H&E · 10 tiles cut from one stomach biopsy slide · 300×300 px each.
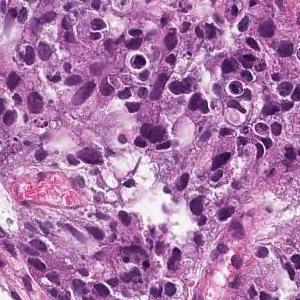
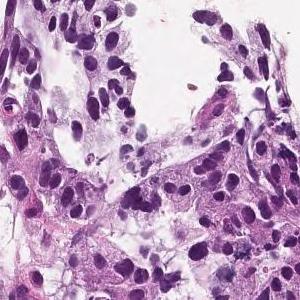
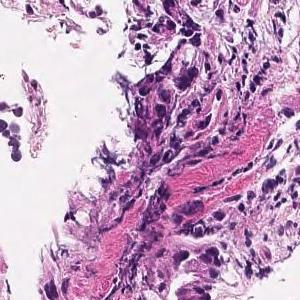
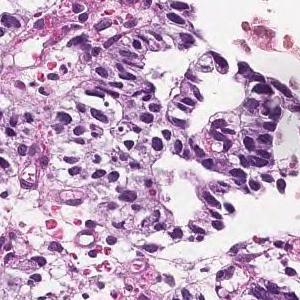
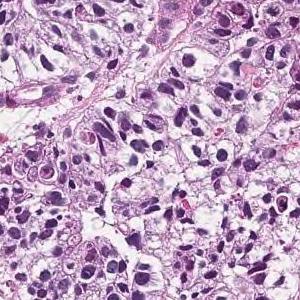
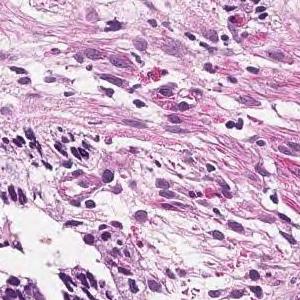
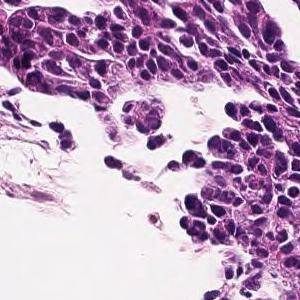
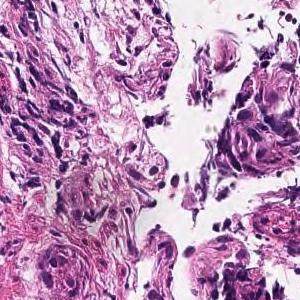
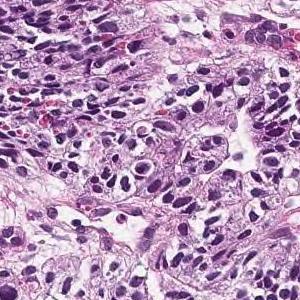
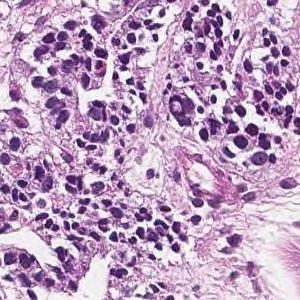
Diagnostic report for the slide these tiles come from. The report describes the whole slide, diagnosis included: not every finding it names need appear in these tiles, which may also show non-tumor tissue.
In the superficial epithelium, tumor tissue that invades by forming medium-sized to small, irregular ducts is observed. moderately differentiated tubular adenocarcinoma.
